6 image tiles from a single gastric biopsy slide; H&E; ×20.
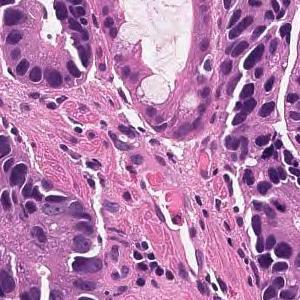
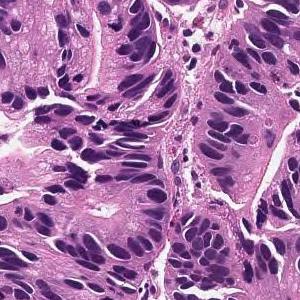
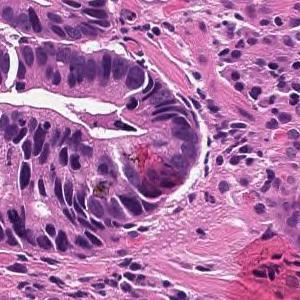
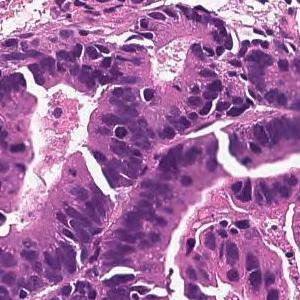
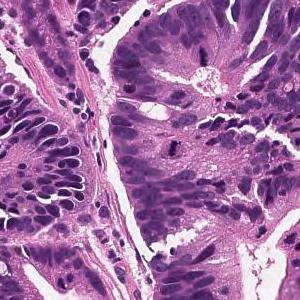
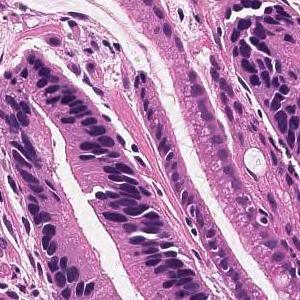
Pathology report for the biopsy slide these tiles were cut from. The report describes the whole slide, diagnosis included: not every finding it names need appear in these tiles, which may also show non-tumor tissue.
Tumor cells are large, highly columnar, large club-shaped nuclei, and are associated with chromatin aggregation. Papillary adenocarcinoma.
